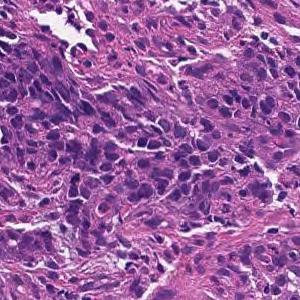
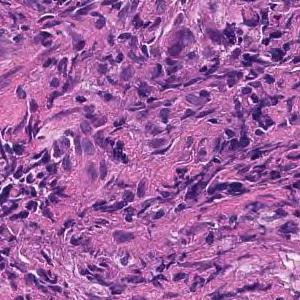
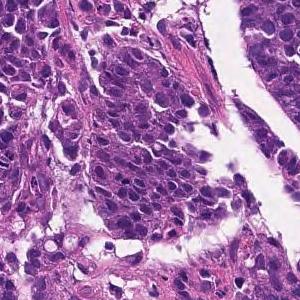
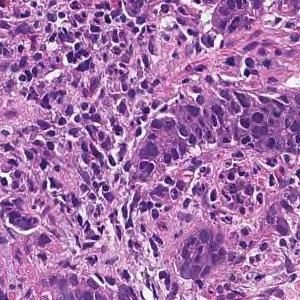
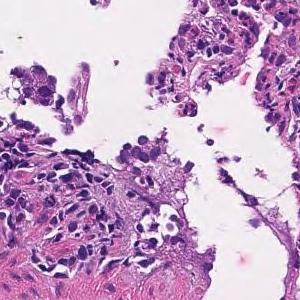
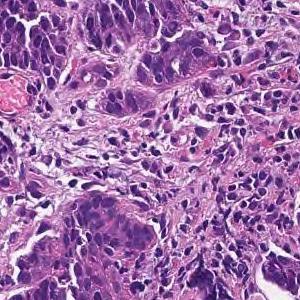
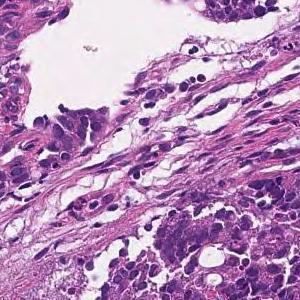
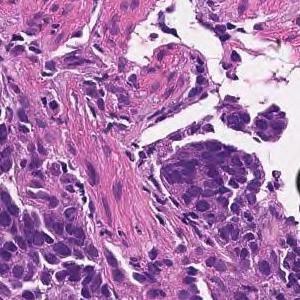
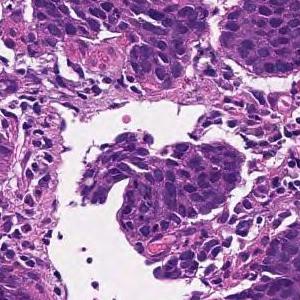
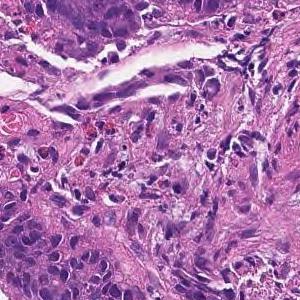
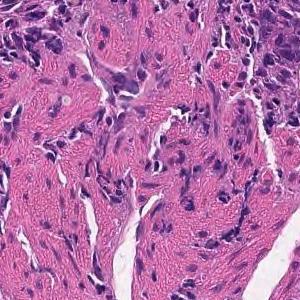
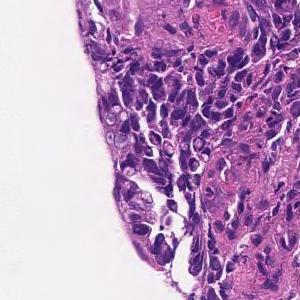
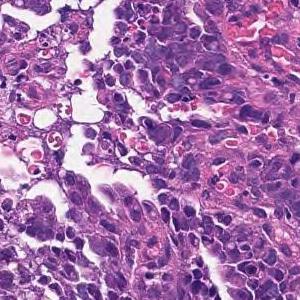
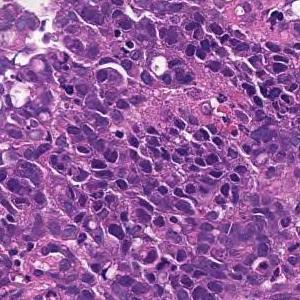
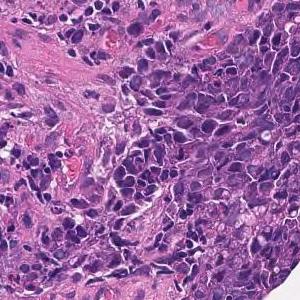
15 tiles cut from one stomach biopsy slide, hematoxylin and eosin stain, ×20.
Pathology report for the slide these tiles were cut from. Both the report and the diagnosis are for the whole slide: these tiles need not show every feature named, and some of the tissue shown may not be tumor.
Tumor tissue consisting of cord-like or small, irregular glandular ducts fused and infiltrated is observed in the superficial epithelium. Poorly differentiated adenocarcinoma, non-solid type
The non-solid type named here is a Japanese Classification of Gastric Carcinoma category.
